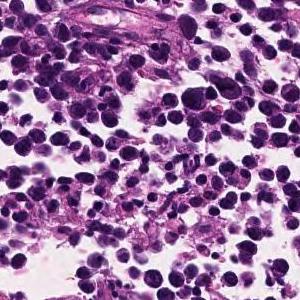
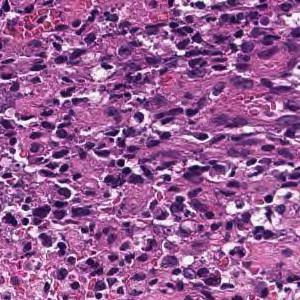
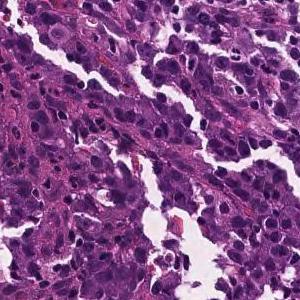
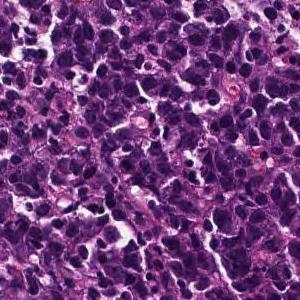
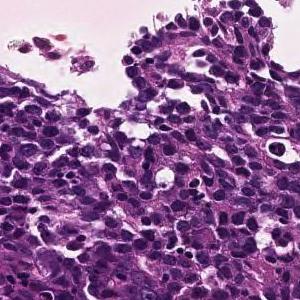
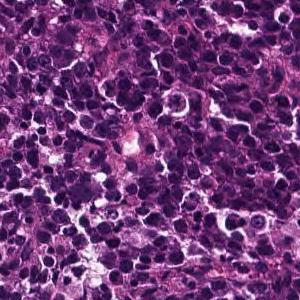
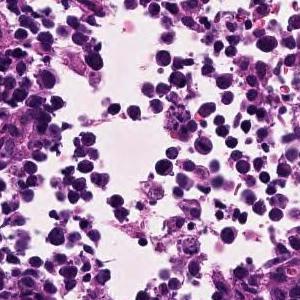
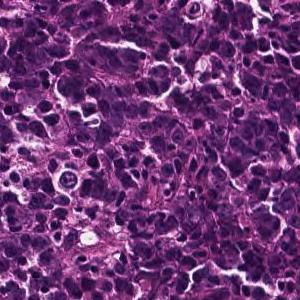
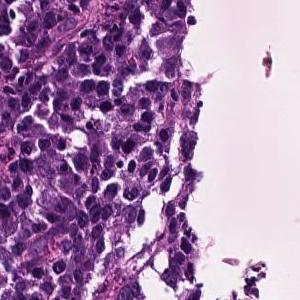
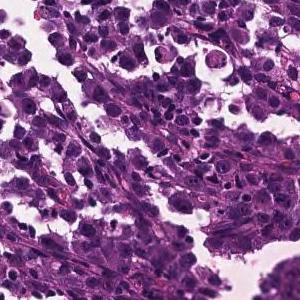
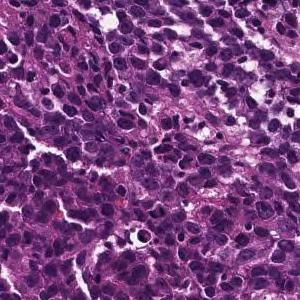
Hematoxylin and eosin stain, 11 tiles from the same stomach biopsy slide.
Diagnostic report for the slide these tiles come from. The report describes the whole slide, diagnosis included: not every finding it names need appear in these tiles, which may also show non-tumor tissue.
The superficial epithelium shows a large sheet-like shape, and some tumor tissue infiltrates with small irregular ducts. Poorly differentiated adenocarcinoma, solid-type
Subtype: Poorly differentiated adenocarcinoma, solid type, a category of the Japanese Classification of Gastric Carcinoma; in the WHO 2019 classification it is tubular adenocarcinoma, poorly differentiated.
